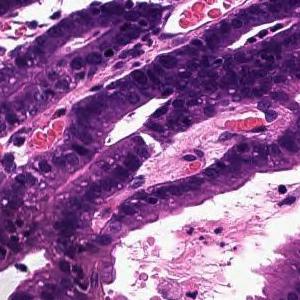
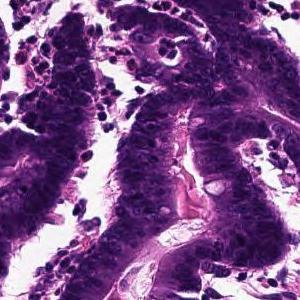
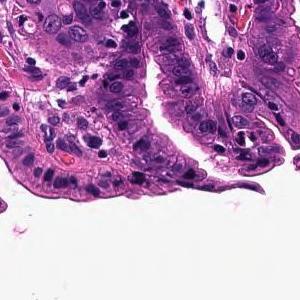
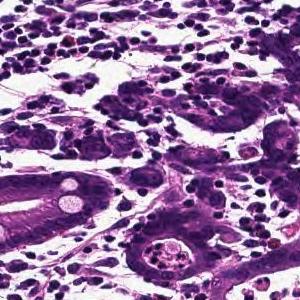
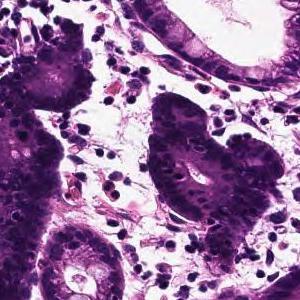
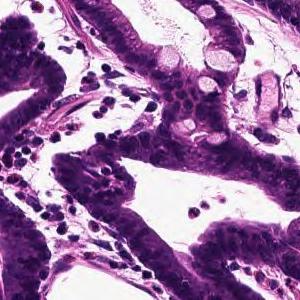
H&E · 6 image tiles from a single gastric biopsy slide.
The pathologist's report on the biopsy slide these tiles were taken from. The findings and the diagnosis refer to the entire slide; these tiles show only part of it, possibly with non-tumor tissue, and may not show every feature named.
Tumor tissue that infiltrates by forming large papillary or large irregular glandular ducts is observed confined to the mucosa. Papillary adenocarcinoma
